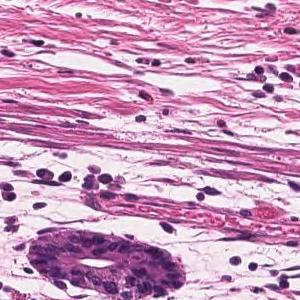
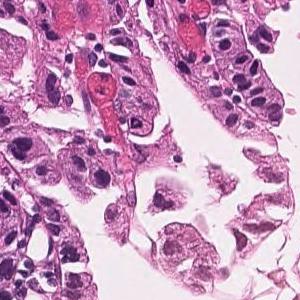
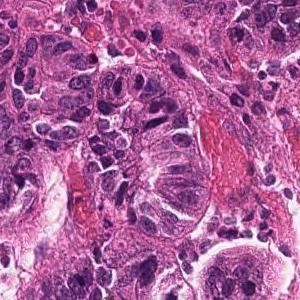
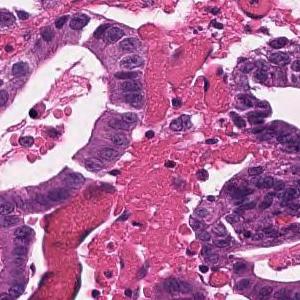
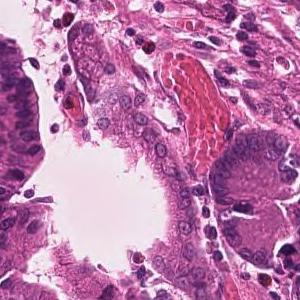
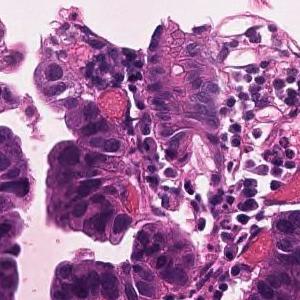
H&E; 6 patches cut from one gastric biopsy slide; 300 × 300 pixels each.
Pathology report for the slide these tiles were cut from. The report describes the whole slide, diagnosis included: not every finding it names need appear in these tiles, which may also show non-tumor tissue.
Infiltrating tumor tissue with medium-sized, irregular ductal structure or large papillary appearance is observed. Well differentiated tubular adenocarcinoma
